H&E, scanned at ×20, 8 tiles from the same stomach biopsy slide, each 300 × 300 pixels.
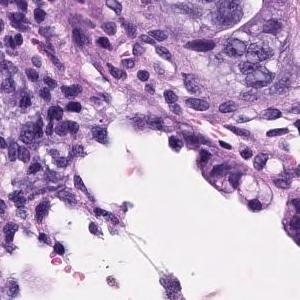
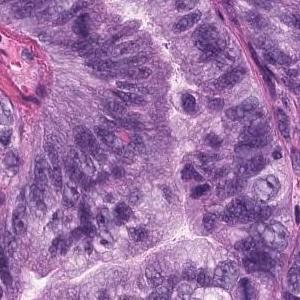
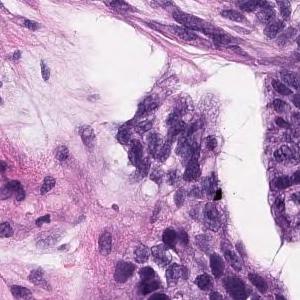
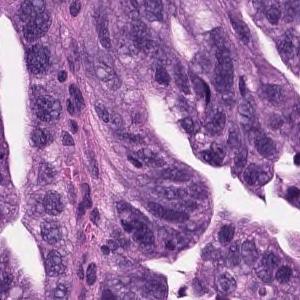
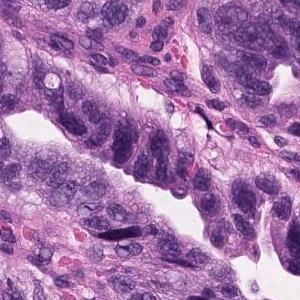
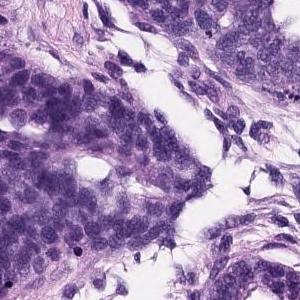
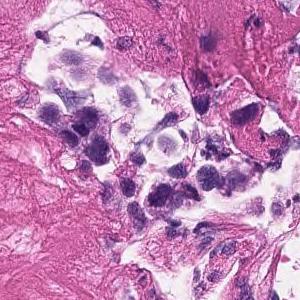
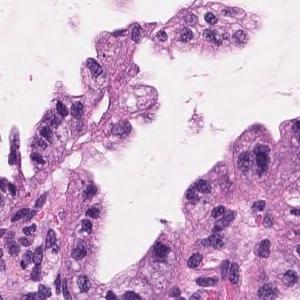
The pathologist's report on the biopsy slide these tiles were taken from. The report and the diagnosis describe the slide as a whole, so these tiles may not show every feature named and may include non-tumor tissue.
Tumor cells are large, highly columnar, large club-shaped nuclei, and are associated with chromatin aggregation. Papillary adenocarcinoma.
